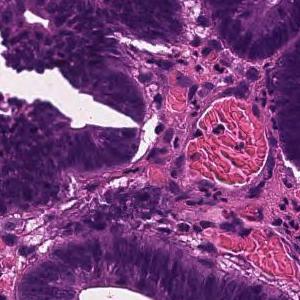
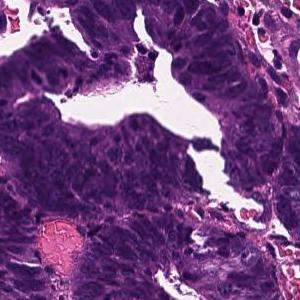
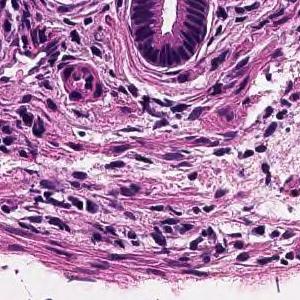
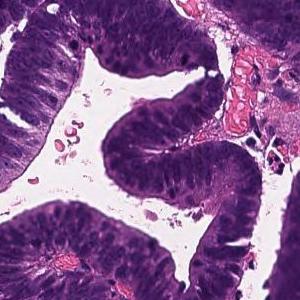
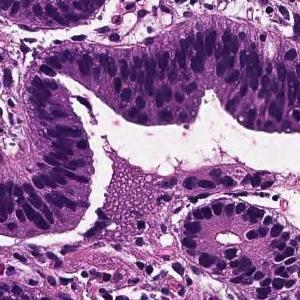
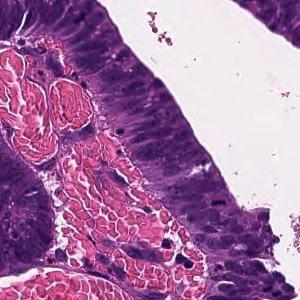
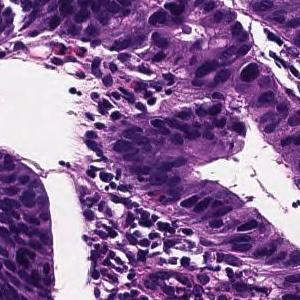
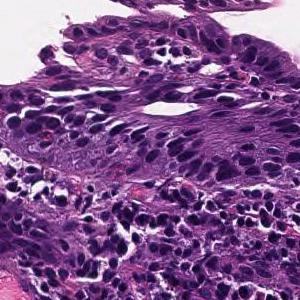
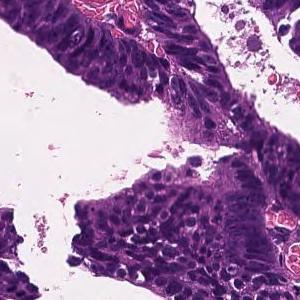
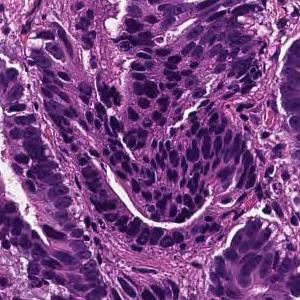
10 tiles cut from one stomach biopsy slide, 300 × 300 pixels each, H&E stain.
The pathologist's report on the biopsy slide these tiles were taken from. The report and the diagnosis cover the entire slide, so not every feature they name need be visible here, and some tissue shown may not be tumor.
Tumor tissue consisting of large papillary structures is found in the superficial epithelium. Papillary adenocarcinoma.
